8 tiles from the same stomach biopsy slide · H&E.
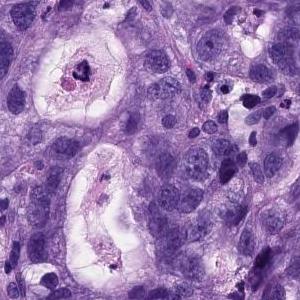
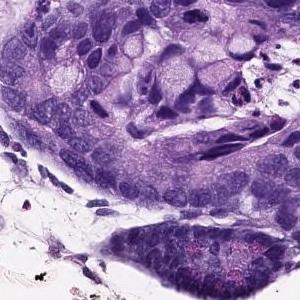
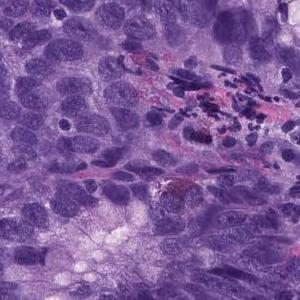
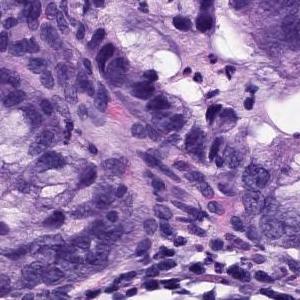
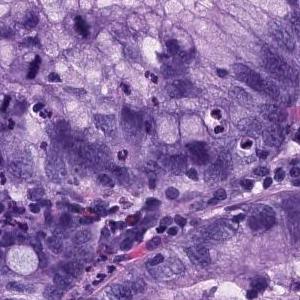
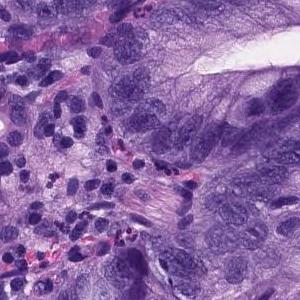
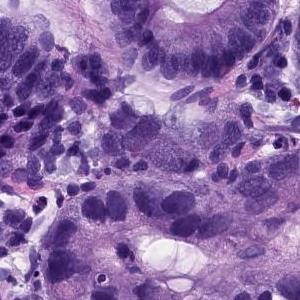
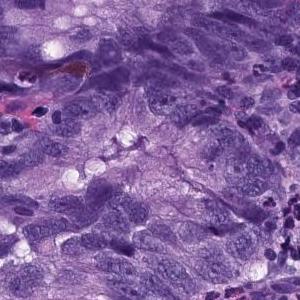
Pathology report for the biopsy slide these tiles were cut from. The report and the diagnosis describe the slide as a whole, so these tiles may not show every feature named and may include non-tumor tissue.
There are large atypical epithelial cells infiltrating and proliferating while forming atypical glandular cavities showing a fusion tendency. Moderately differentiated tubular adenocarcinoma.
